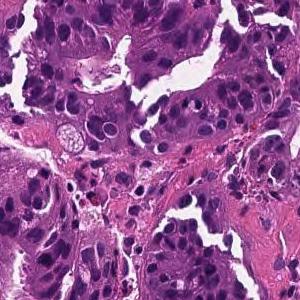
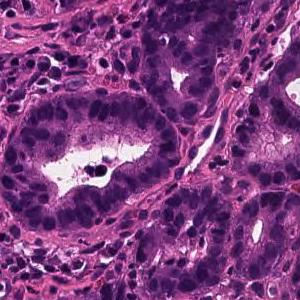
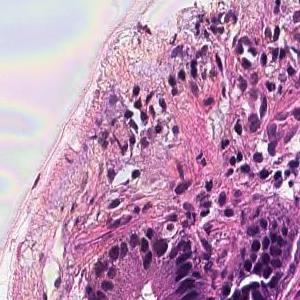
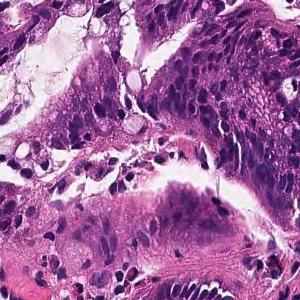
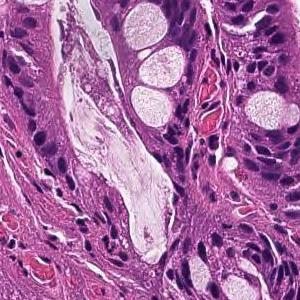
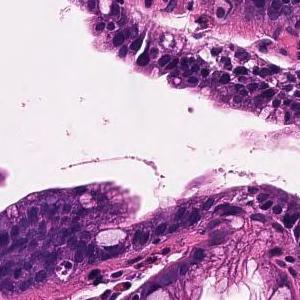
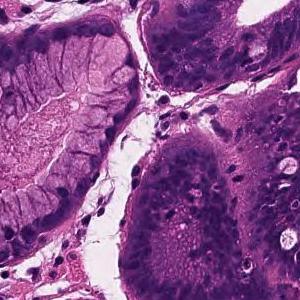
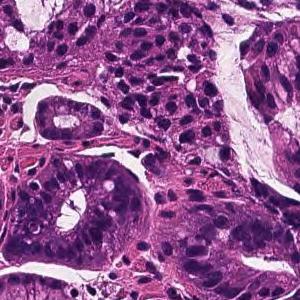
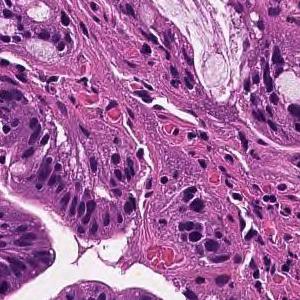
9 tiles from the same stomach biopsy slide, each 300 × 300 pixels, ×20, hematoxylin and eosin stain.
Diagnostic report for the slide these tiles come from. The findings and the diagnosis refer to the entire slide; these tiles show only part of it, possibly with non-tumor tissue, and may not show every feature named.
On the superficial epithelium, tumor tissue that infiltrates by forming medium-sized papillary or small irregular ducts is observed. Papillary adenocarcinoma
